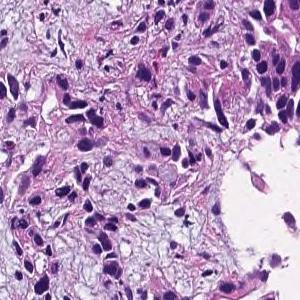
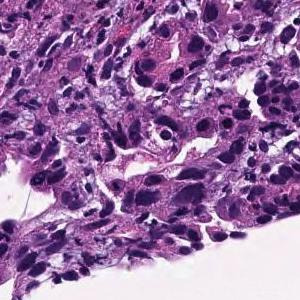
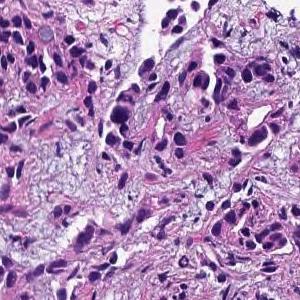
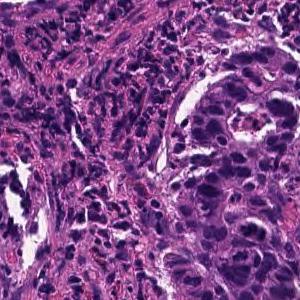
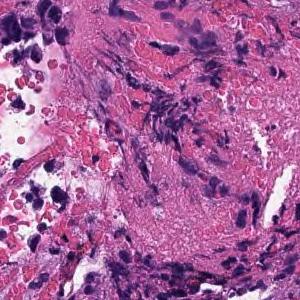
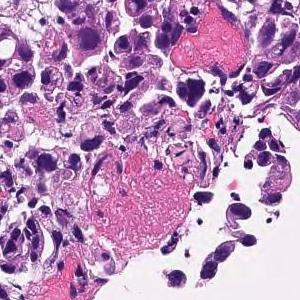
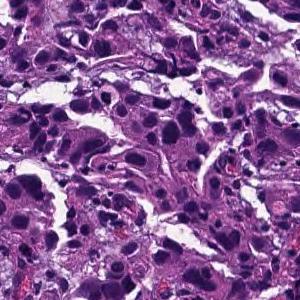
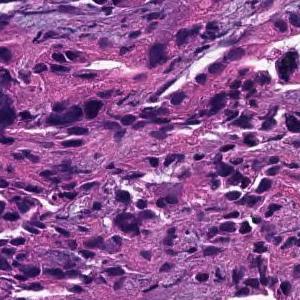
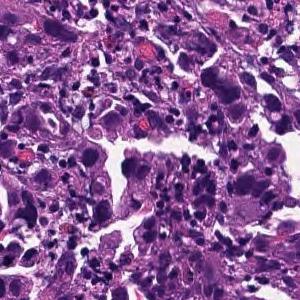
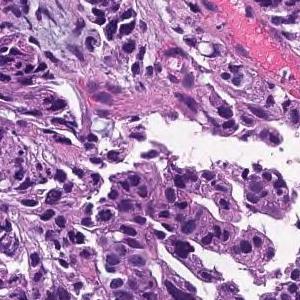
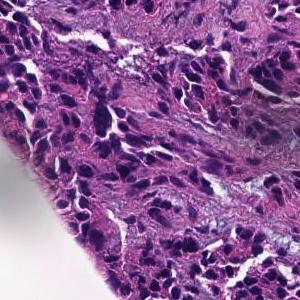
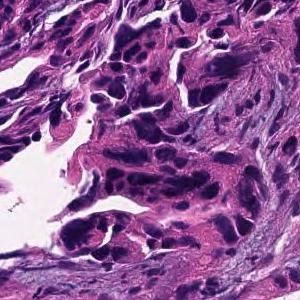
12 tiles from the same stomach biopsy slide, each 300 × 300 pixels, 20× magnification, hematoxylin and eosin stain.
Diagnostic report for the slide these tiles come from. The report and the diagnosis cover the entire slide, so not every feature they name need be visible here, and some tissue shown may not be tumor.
Tumor tissue consisting of cord-like or small, irregular glandular ducts fused and infiltrated is observed in the superficial epithelium. Poorly differentiated adenocarcinoma, non-solid type
The term "non-solid type" comes from the Japanese Classification of Gastric Carcinoma.
